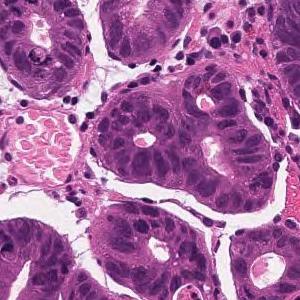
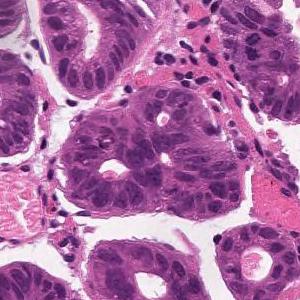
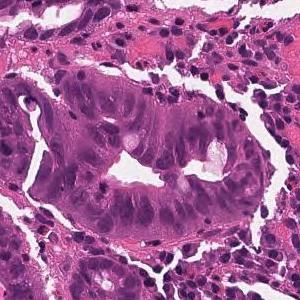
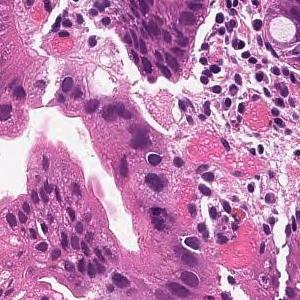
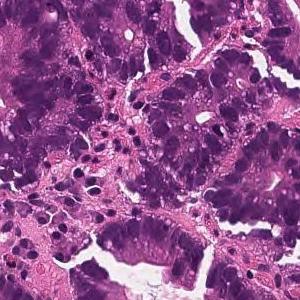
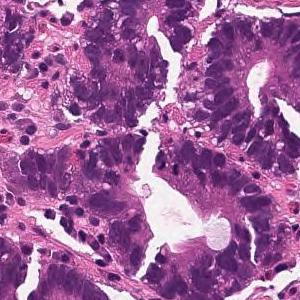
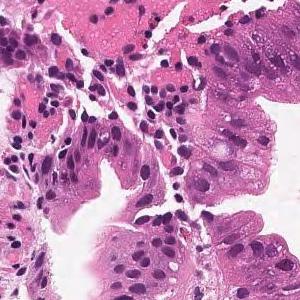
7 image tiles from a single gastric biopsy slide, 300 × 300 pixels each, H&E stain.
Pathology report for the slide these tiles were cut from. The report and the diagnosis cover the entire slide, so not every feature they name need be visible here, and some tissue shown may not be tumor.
From the superficial epithelium to the muscularis mucosae, tumor tissue consisting of medium-sized and irregular glandular ducts infiltrating is observed. Well differentiated tubular adenocarcinoma
